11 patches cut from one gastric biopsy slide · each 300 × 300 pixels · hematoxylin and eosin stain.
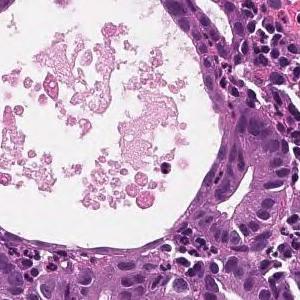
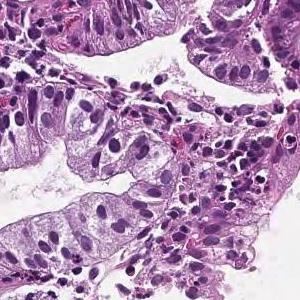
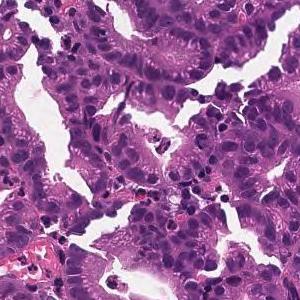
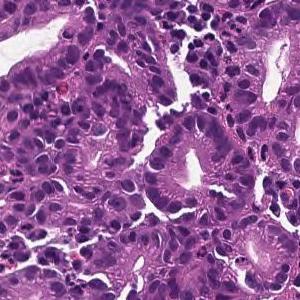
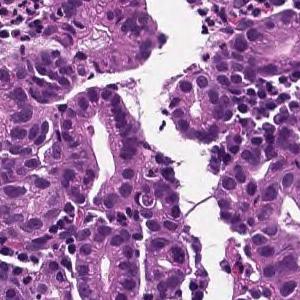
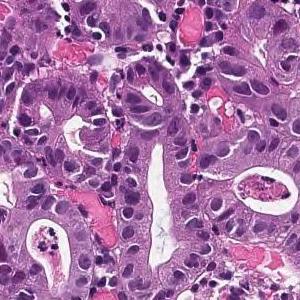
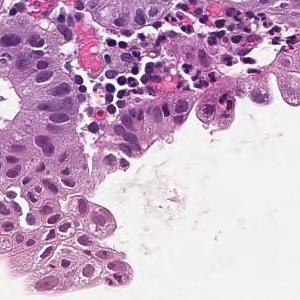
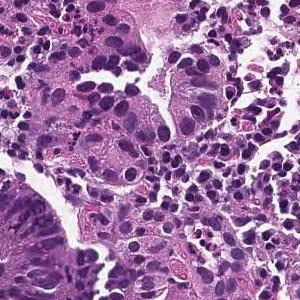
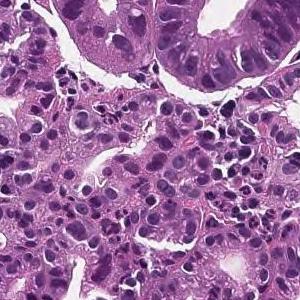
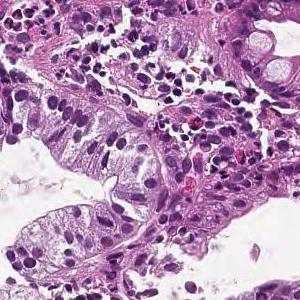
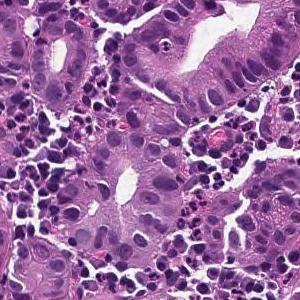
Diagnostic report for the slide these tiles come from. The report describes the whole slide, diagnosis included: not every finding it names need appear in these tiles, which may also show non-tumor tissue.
From the superficial epithelium to the muscularis mucosae, tumor tissue consisting of medium-sized and irregular glandular ducts infiltrating is observed. Well differentiated tubular adenocarcinoma
